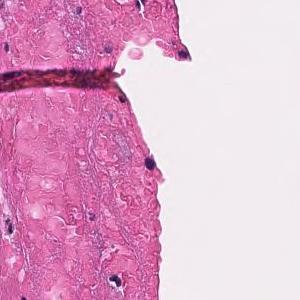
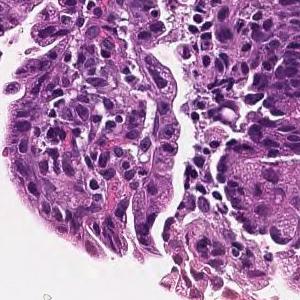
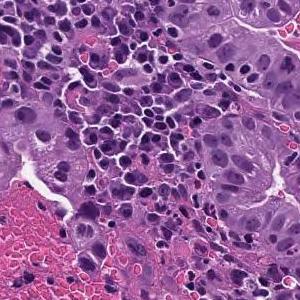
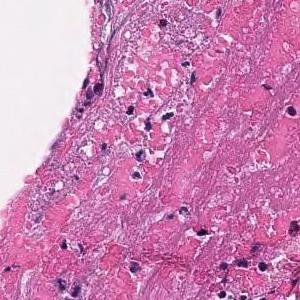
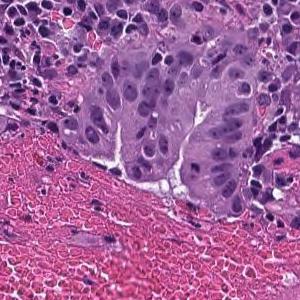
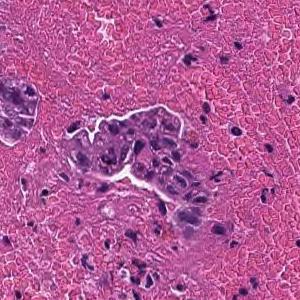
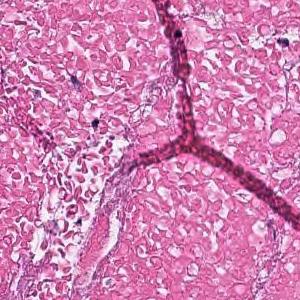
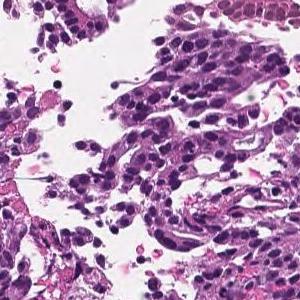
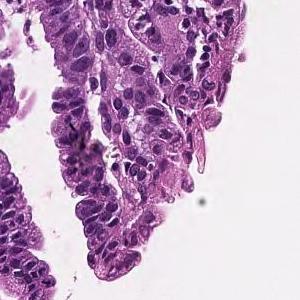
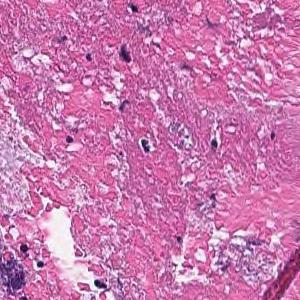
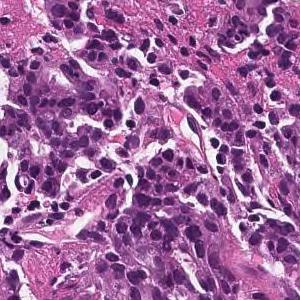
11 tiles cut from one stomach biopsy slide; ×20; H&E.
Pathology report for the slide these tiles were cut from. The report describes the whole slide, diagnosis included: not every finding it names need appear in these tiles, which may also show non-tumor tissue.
On the superficial epithelium, tumor tissue that infiltrates by forming medium-sized papillary or small irregular ducts is observed. Papillary adenocarcinoma
